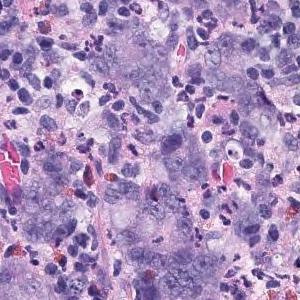
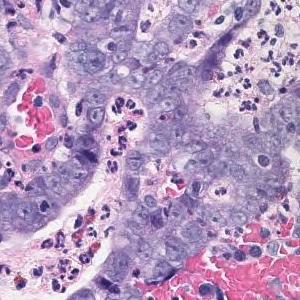
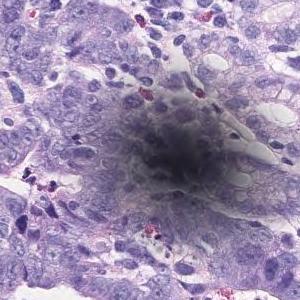
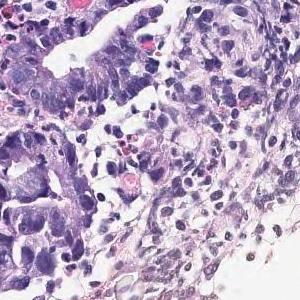
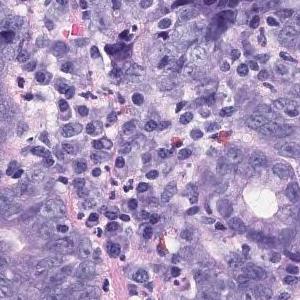
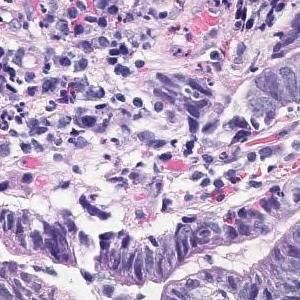
6 patches cut from one gastric biopsy slide; ×20.
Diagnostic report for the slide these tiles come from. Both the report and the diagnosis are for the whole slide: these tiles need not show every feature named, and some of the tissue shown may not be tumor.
In the superficial epithelium, tumor tissue that invades by forming medium-sized to small, irregular ducts is observed. Moderately differentiated adenocarcinoma.
Classified as moderately differentiated tubular adenocarcinoma.
